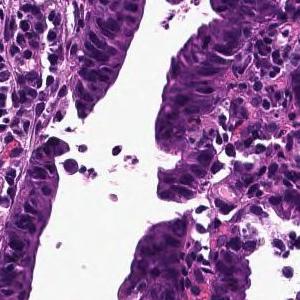
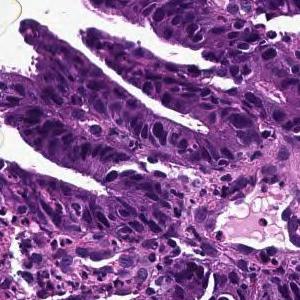
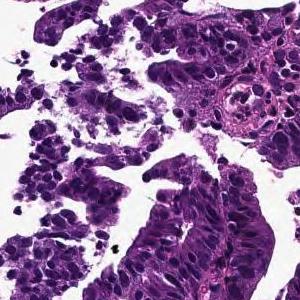
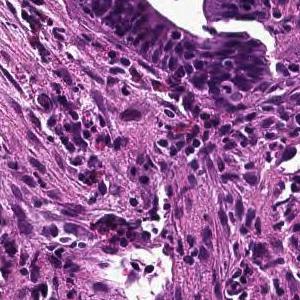
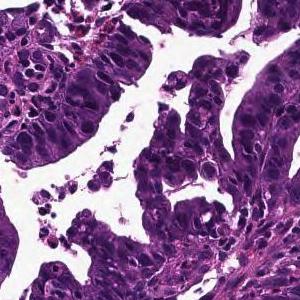
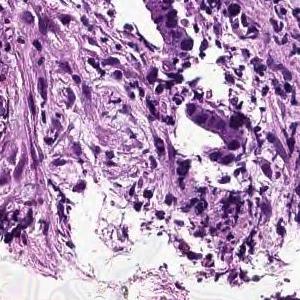
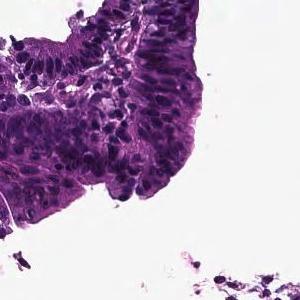
H&E stain, scanned at ×20, 7 image tiles from a single gastric biopsy slide.
Diagnostic report for the slide these tiles come from. The report and the diagnosis cover the entire slide, so not every feature they name need be visible here, and some tissue shown may not be tumor.
Tumor cells are large, highly columnar, large club-shaped nuclei, and are associated with chromatin aggregation. Papillary adenocarcinoma.
